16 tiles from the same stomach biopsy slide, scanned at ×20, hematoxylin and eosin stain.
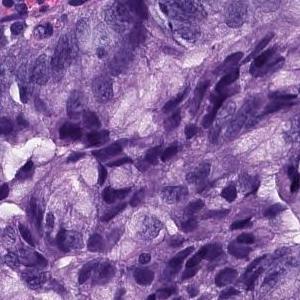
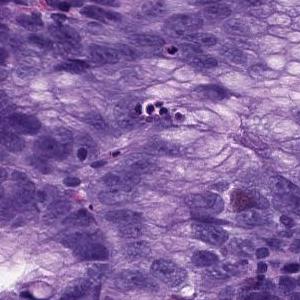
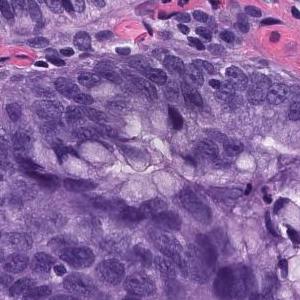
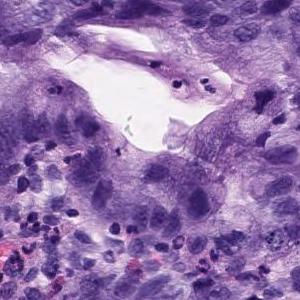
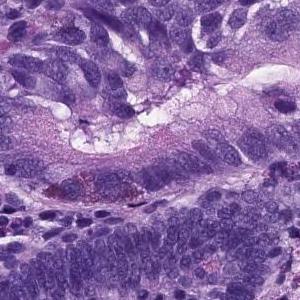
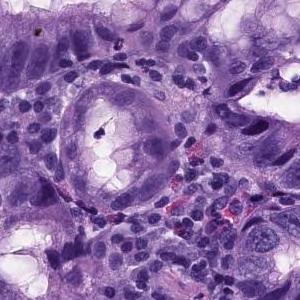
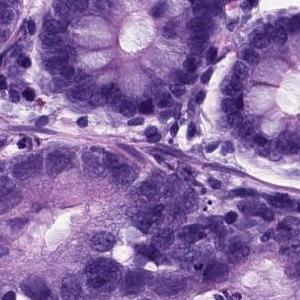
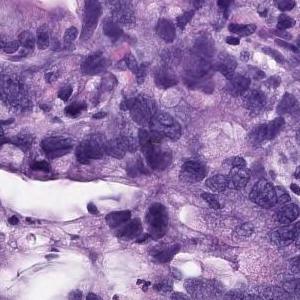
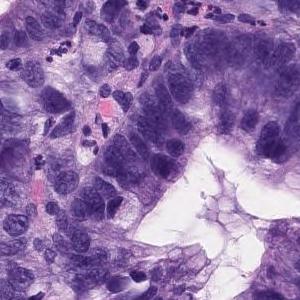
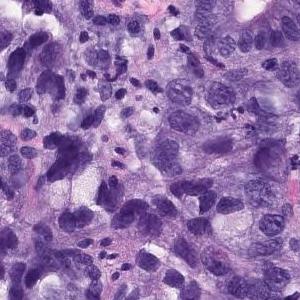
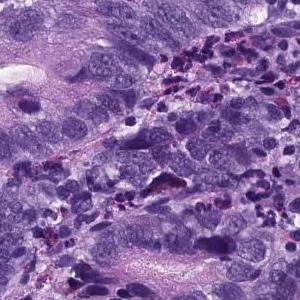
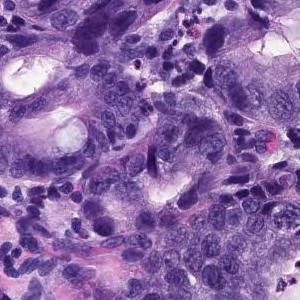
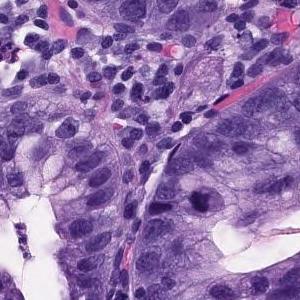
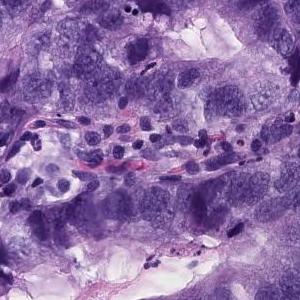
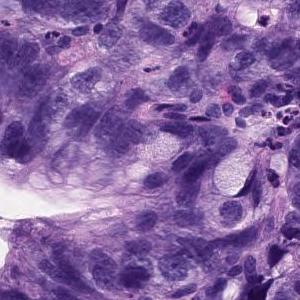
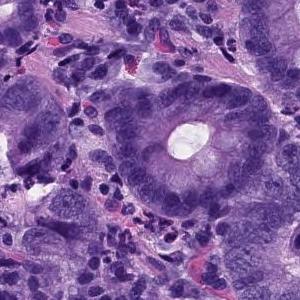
Pathology report for the biopsy slide these tiles were cut from. The report and the diagnosis cover the entire slide, so not every feature they name need be visible here, and some tissue shown may not be tumor.
There are large atypical epithelial cells infiltrating and proliferating while forming atypical glandular cavities showing a fusion tendency. Moderately differentiated tubular adenocarcinoma.
